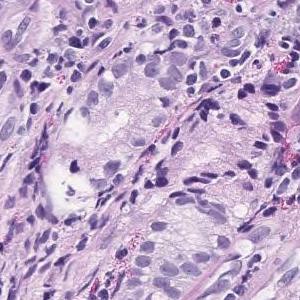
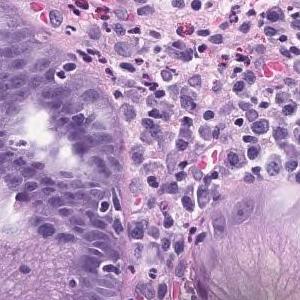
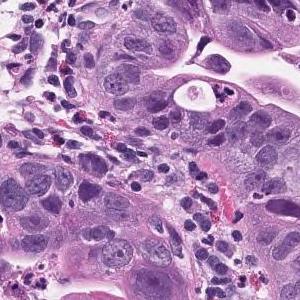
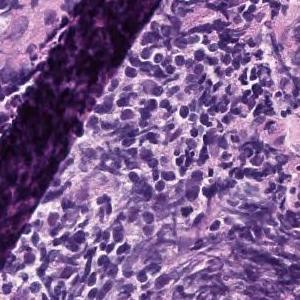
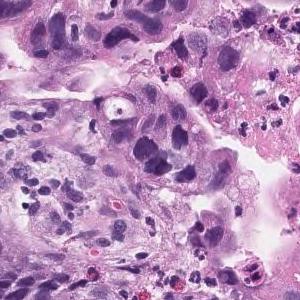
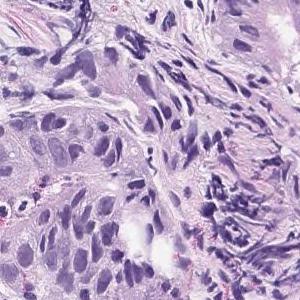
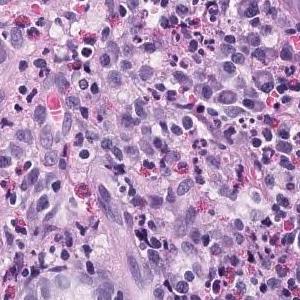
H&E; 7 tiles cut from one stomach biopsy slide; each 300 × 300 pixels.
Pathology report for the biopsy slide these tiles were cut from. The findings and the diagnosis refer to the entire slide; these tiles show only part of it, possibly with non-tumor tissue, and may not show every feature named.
Atypical epithelium replaces superficial epithelium or localized ducts, or grows while forming irregular ducts. Well differentiated tubular adenocarcinoma
